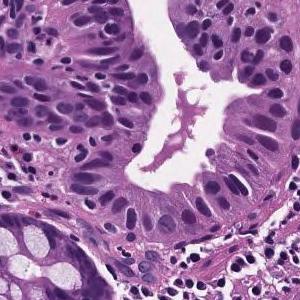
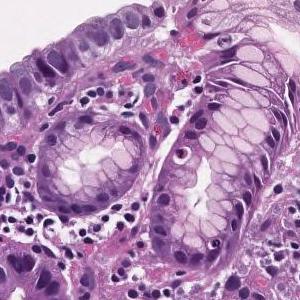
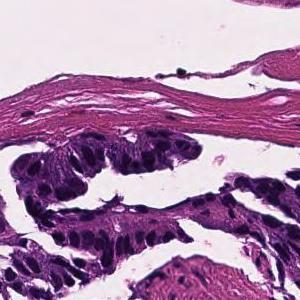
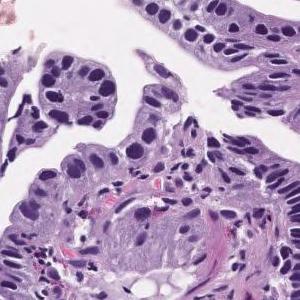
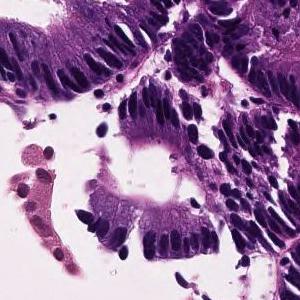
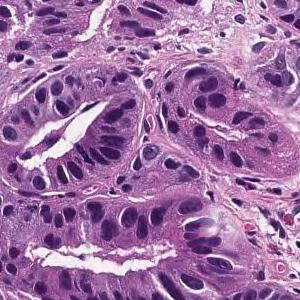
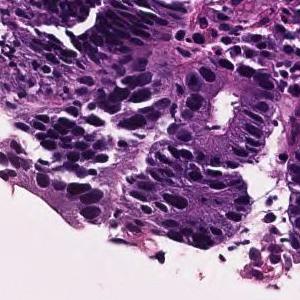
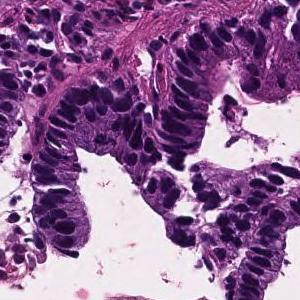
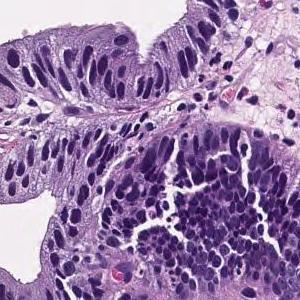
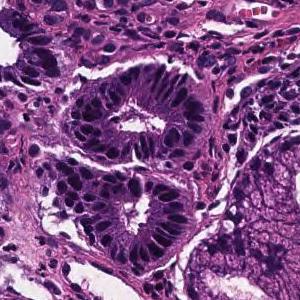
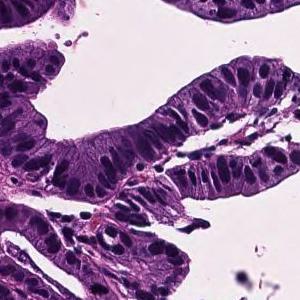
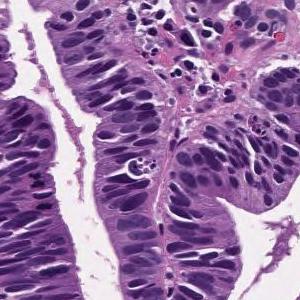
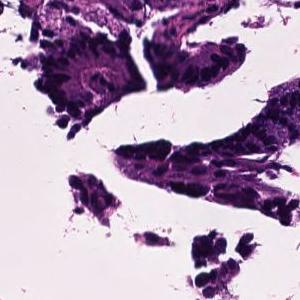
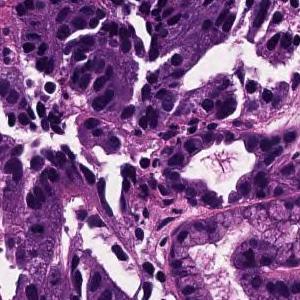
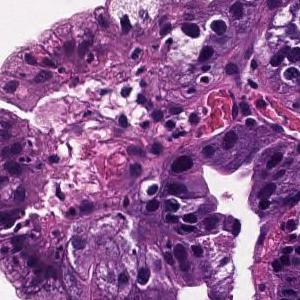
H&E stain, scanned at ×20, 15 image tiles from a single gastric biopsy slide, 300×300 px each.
The pathologist's report on the biopsy slide these tiles were taken from. The report and the diagnosis cover the entire slide, so not every feature they name need be visible here, and some tissue shown may not be tumor.
Tumor cells are large, highly columnar, large club-shaped nuclei, and are associated with chromatin aggregation. Papillary adenocarcinoma.
